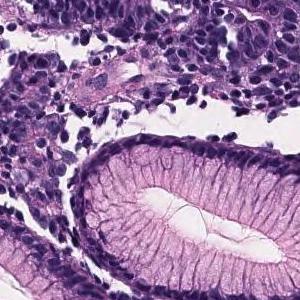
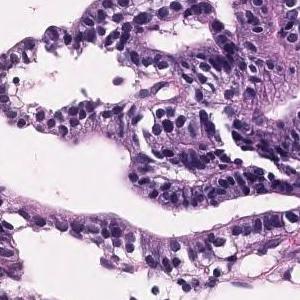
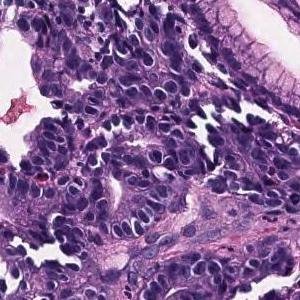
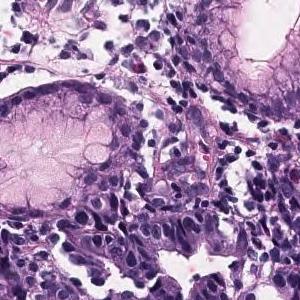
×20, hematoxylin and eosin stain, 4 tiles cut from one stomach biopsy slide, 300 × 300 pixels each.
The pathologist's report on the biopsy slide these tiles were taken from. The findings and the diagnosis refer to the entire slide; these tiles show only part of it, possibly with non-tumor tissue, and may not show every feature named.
Tumor tissue in which highly columnar atypical epithelial cells with nuclear enlargement and increased nuclear chromatin show papillary to papillary ductal structure and proliferate is observed. Papillary adenocarcinoma.
